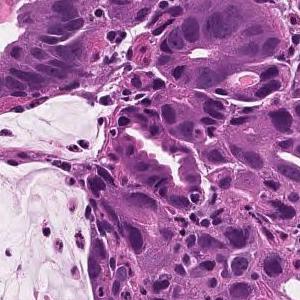
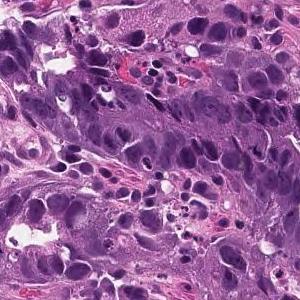
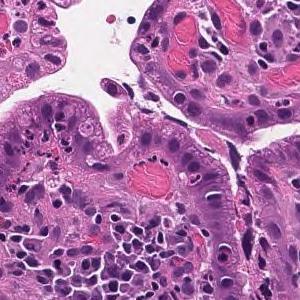
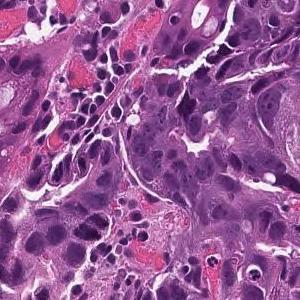
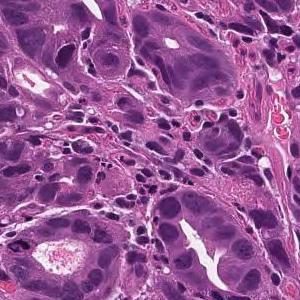
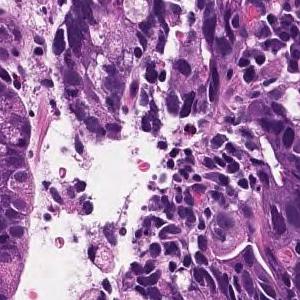
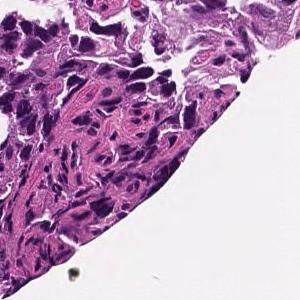
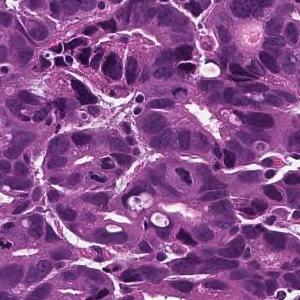
20× magnification · 8 tiles from the same stomach biopsy slide · 300×300 px each.
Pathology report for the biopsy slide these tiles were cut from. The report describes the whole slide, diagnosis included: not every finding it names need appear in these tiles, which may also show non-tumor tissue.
On the superficial epithelium, tumor tissue is found in which medium-sized irregular gland ducts fuse with each other and infiltrate. moderately differentiated tubular adenocarcinoma
